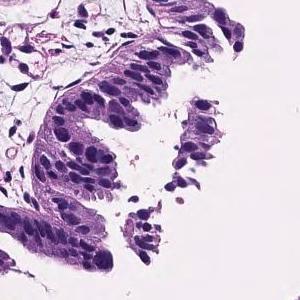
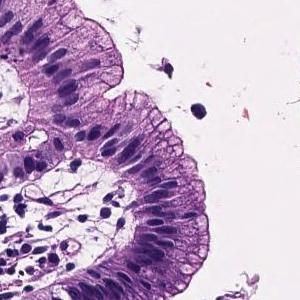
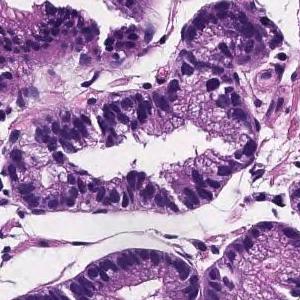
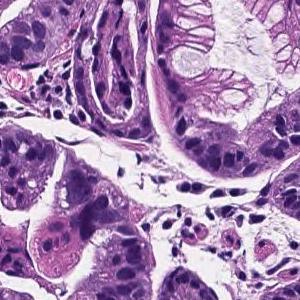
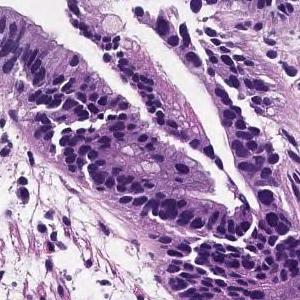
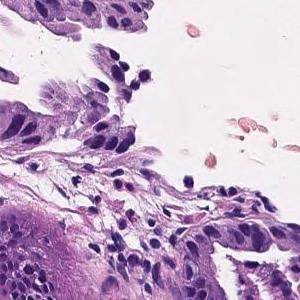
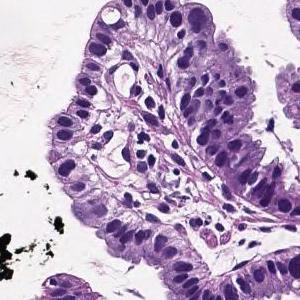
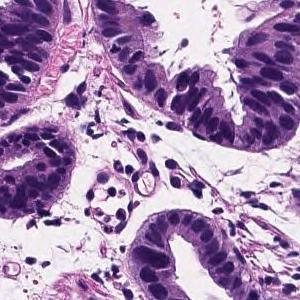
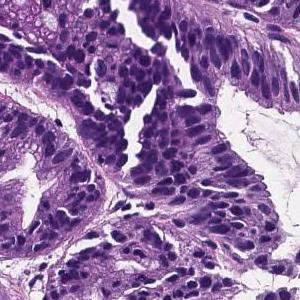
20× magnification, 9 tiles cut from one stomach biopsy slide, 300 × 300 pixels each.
The pathologist's report on the biopsy slide these tiles were taken from. What the report and the diagnosis say applies to the whole slide; these tiles may miss some of the features named and may include tissue that is not tumor.
Tumor cells are large, highly columnar, large club-shaped nuclei, and are associated with chromatin aggregation. Papillary adenocarcinoma.
